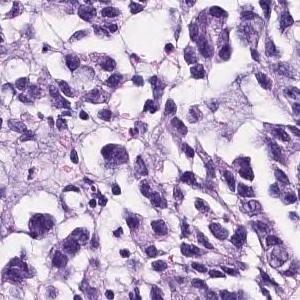
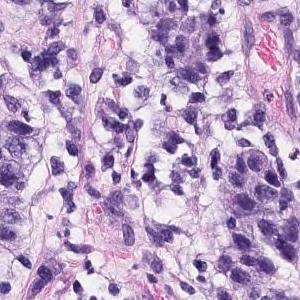
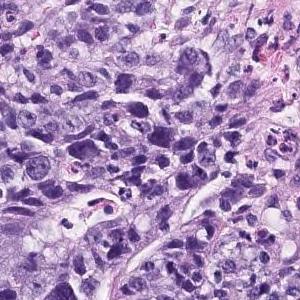
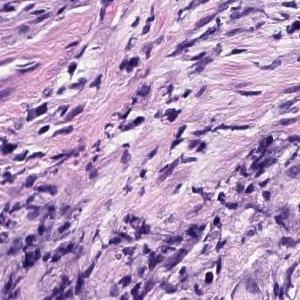
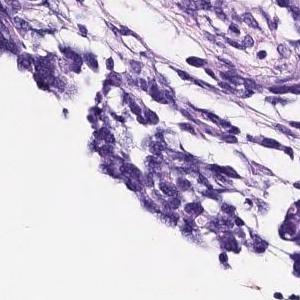
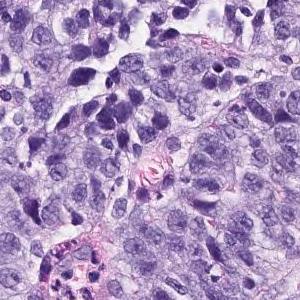
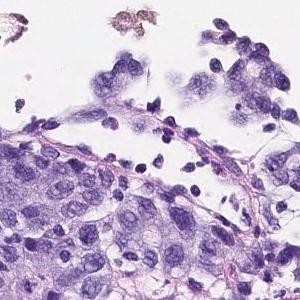
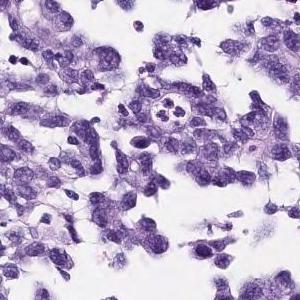
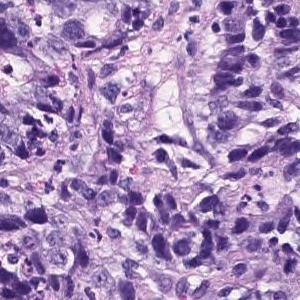
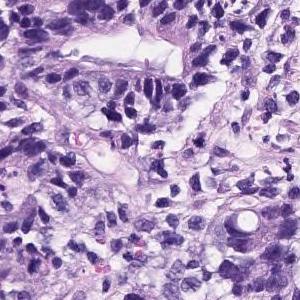
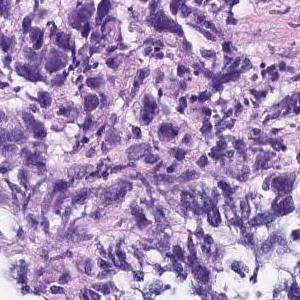
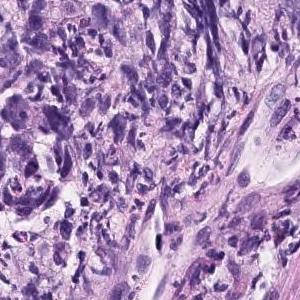
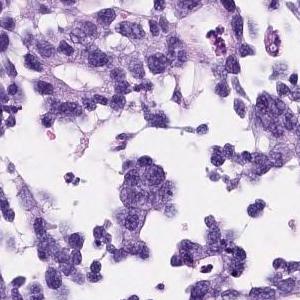
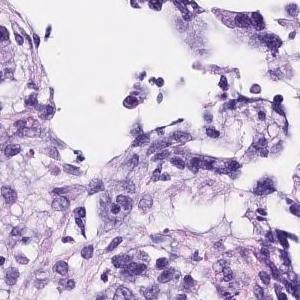
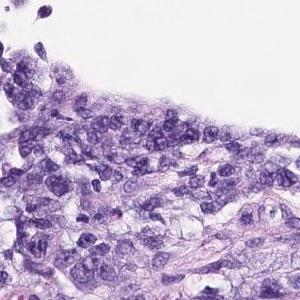
15 tiles cut from one stomach biopsy slide; 300 × 300 pixels each.
The pathologist's report on the biopsy slide these tiles were taken from. Both the report and the diagnosis are for the whole slide: these tiles need not show every feature named, and some of the tissue shown may not be tumor.
The superficial epithelium shows a large sheet-like shape, and some tumor tissue infiltrates with small irregular ducts. Poorly differentiated adenocarcinoma, solid-type
Histologic type: Poorly differentiated adenocarcinoma, solid type. This name comes from the Japanese Classification of Gastric Carcinoma; the WHO 2019 classification calls it tubular adenocarcinoma, poorly differentiated.
